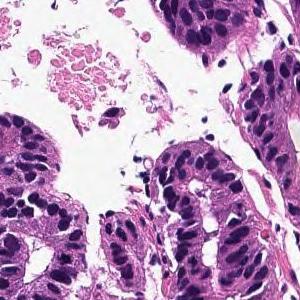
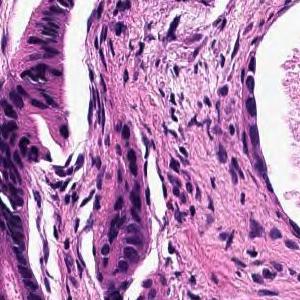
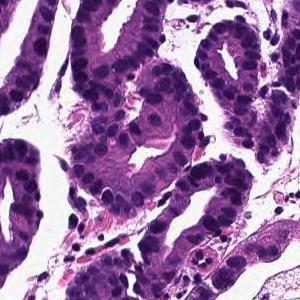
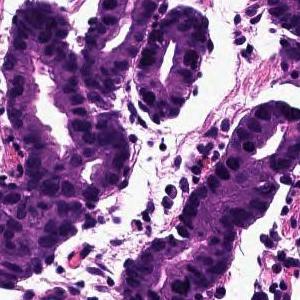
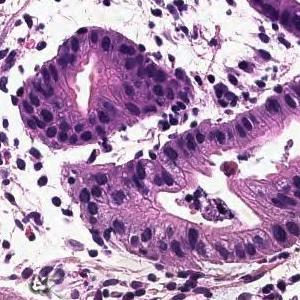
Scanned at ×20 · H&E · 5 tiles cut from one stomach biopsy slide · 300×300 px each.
Pathology report for the biopsy slide these tiles were cut from. The report and the diagnosis cover the entire slide, so not every feature they name need be visible here, and some tissue shown may not be tumor.
From the superficial epithelium to the muscularis mucosae, tumor tissue consisting of medium-sized and irregular glandular ducts infiltrating is observed. Well differentiated tubular adenocarcinoma
